4 tiles cut from one stomach biopsy slide; each 300 × 300 pixels; H&E.
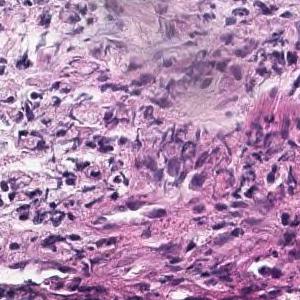
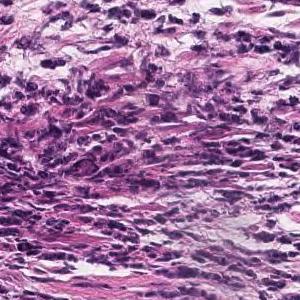
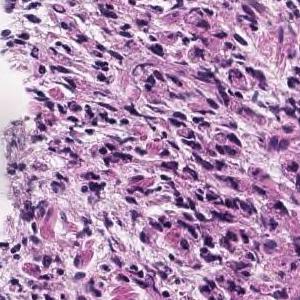
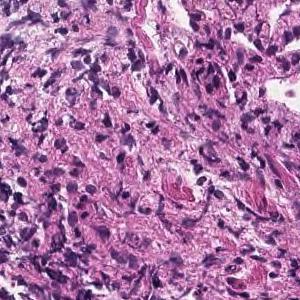
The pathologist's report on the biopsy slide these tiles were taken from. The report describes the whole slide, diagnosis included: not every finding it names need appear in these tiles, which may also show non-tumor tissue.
In the lamina propria, a tumor tissue consisting of signet ring cell type atypical epithelial cells infiltrating is observed. Signet ring cell carcinoma.
